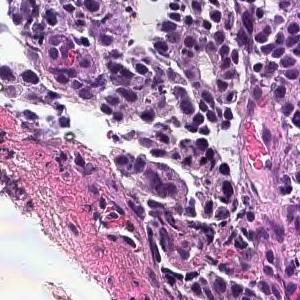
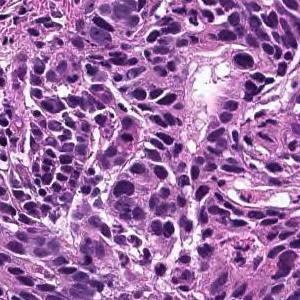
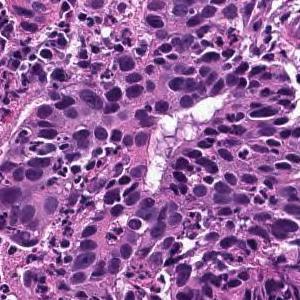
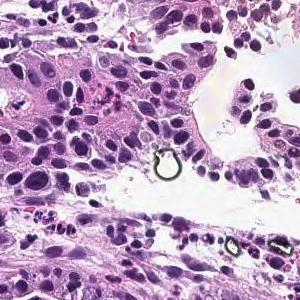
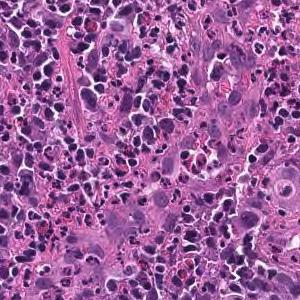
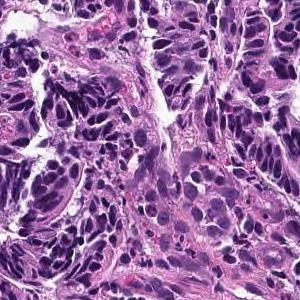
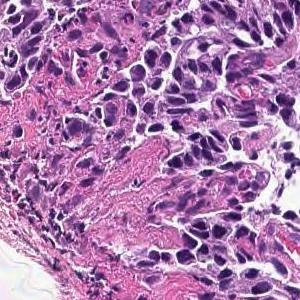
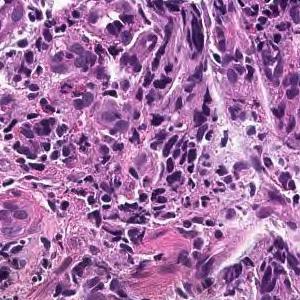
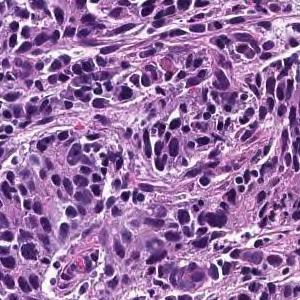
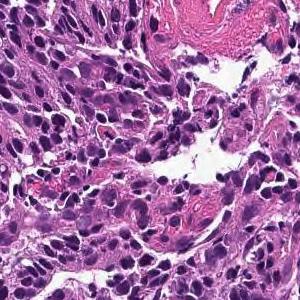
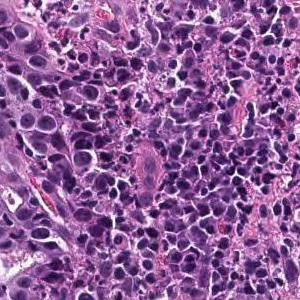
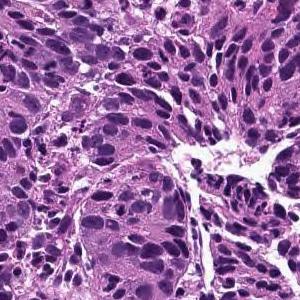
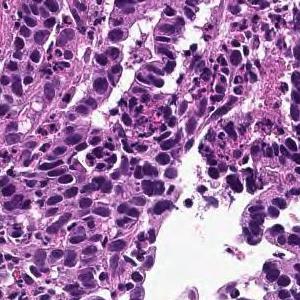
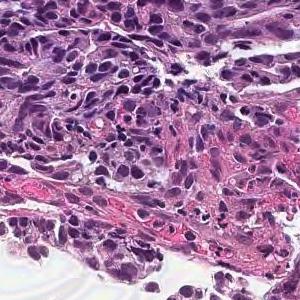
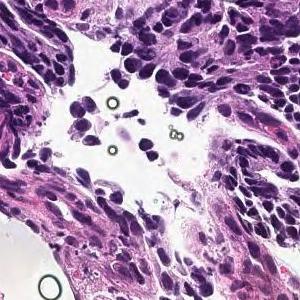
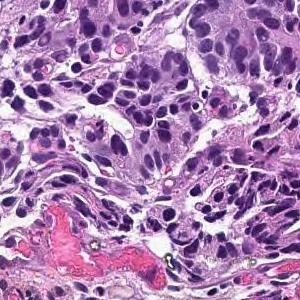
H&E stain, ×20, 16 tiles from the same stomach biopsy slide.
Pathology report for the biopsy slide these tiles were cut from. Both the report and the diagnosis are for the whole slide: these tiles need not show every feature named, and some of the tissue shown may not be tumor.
In the superficial epithelium, tumor tissue that invades by forming medium-sized to small, irregular ducts is observed. moderately differentiated tubular adenocarcinoma.
